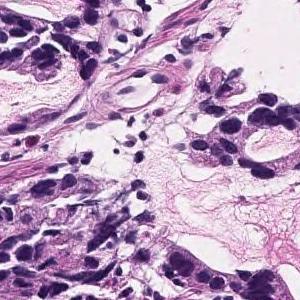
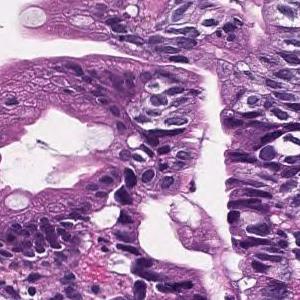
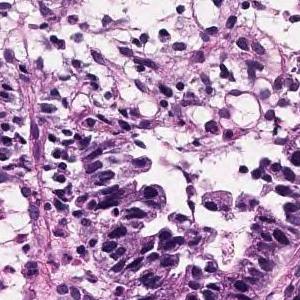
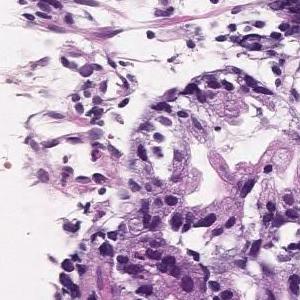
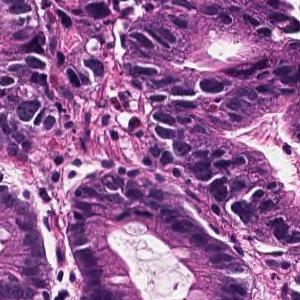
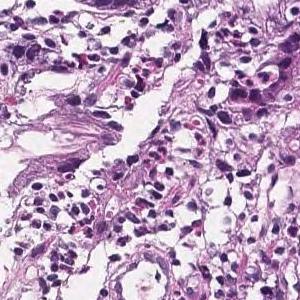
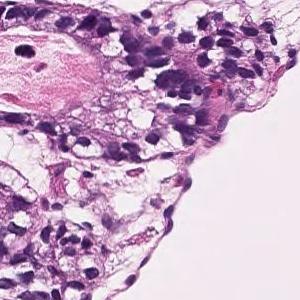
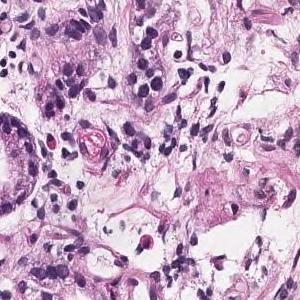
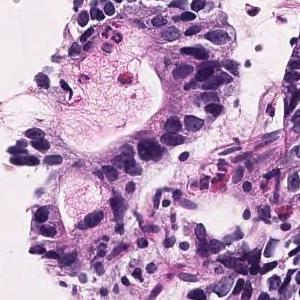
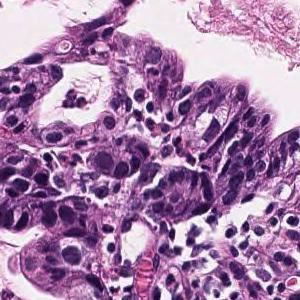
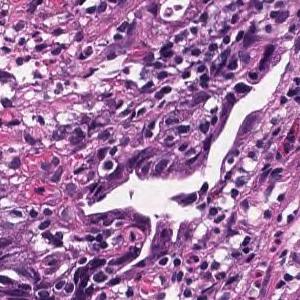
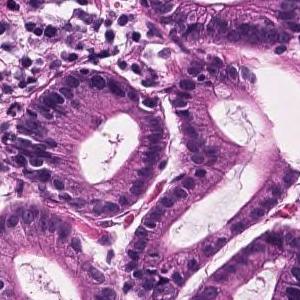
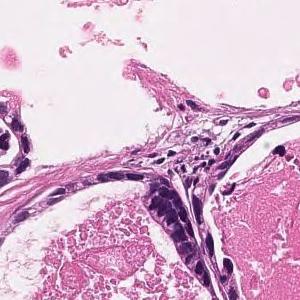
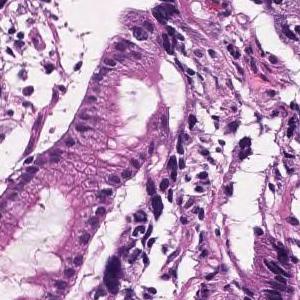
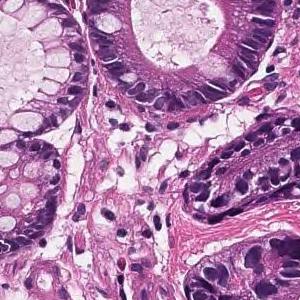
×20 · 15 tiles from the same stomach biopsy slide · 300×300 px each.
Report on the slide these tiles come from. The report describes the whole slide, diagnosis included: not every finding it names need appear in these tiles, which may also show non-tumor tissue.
Tumor tissue consisting of medium-sized and irregular ducts is observed infiltrating in the superficial epithelium. Tumor cells are highly columnar, with nuclei aligned basolaterally and polarized. Well differentiated tubular adenocarcinoma.
